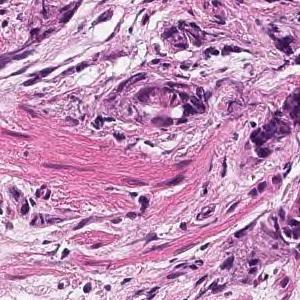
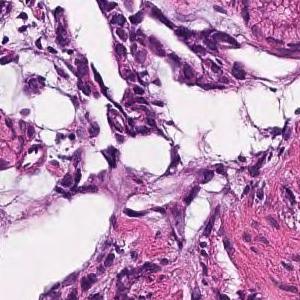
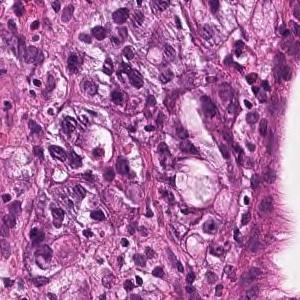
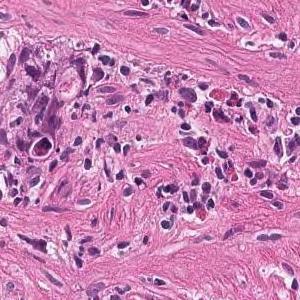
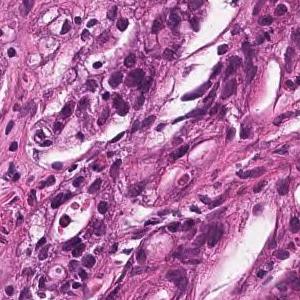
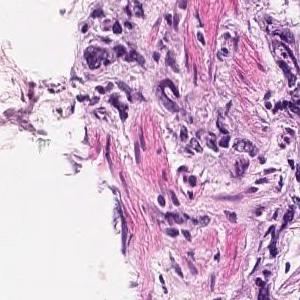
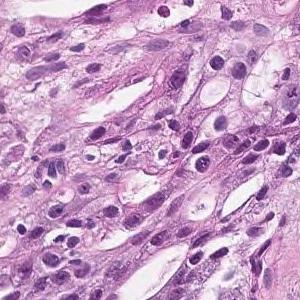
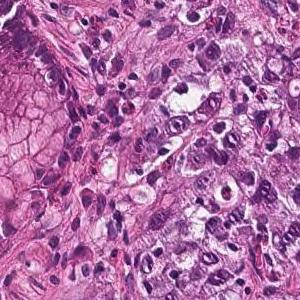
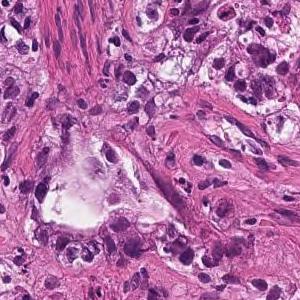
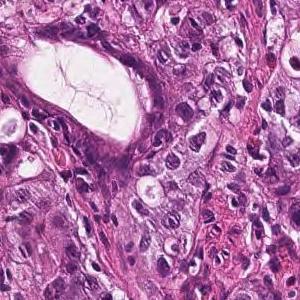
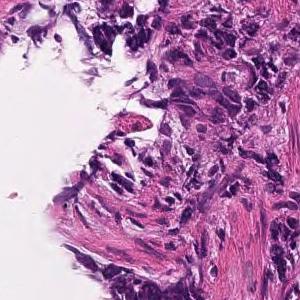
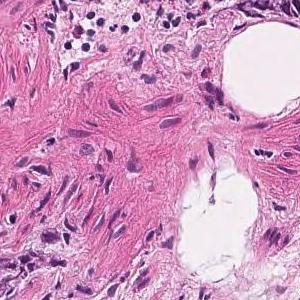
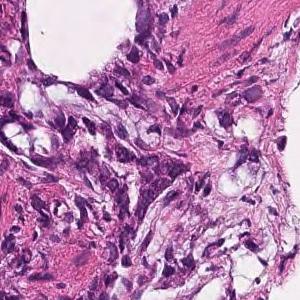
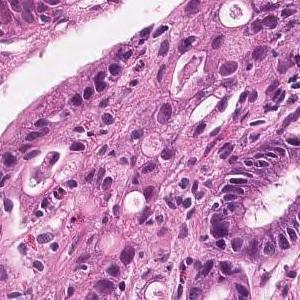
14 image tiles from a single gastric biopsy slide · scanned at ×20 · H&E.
The pathologist's report on the biopsy slide these tiles were taken from. The report and the diagnosis cover the entire slide, so not every feature they name need be visible here, and some tissue shown may not be tumor.
In the gastric mucosal tissue, tumor tissue that forms irregular glandular cavities of medium to small size or shows small cords and infiltrates is observed. moderately differentiated tubular adenocarcinoma
